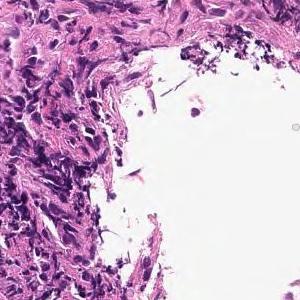
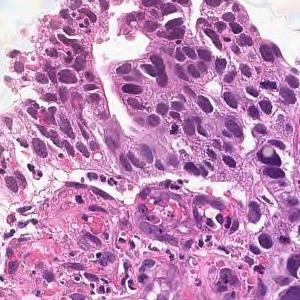
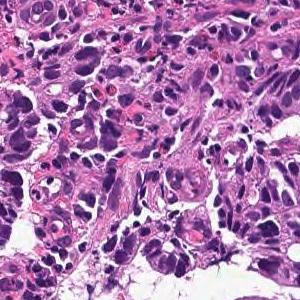
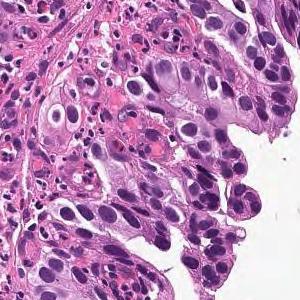
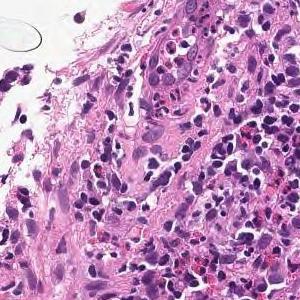
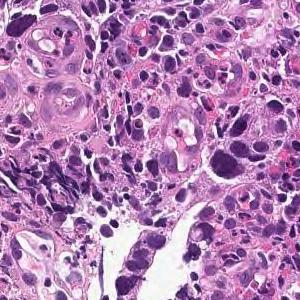
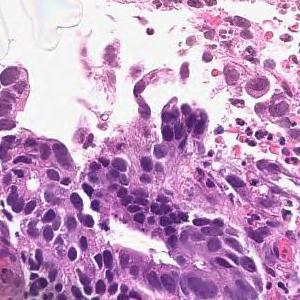
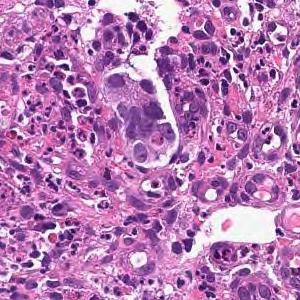
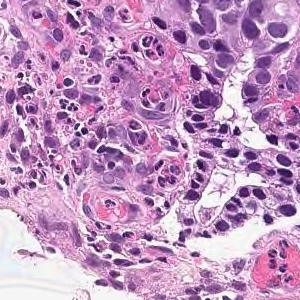
9 image tiles from a single gastric biopsy slide.
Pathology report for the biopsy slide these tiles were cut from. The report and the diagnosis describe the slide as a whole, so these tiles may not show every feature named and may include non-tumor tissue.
On the superficial epithelium, tumor tissue consisting of large irregular glandular ducts partially fused and infiltrated is observed. Well to moderately differentiated tubular adenocarcinoma (well differentiated tubular adenocarcinoma, moderately differentiated tubular adenocarcinoma)
Subtype: Well to moderately differentiated tubular adenocarcinoma.
